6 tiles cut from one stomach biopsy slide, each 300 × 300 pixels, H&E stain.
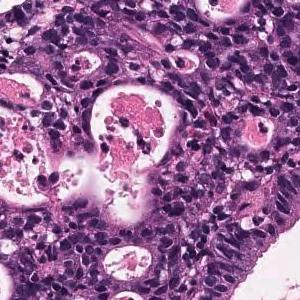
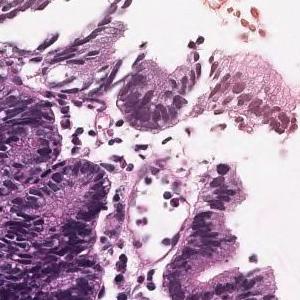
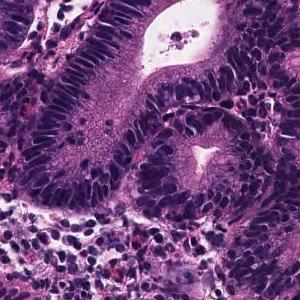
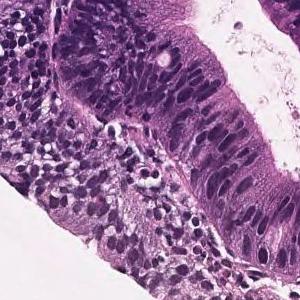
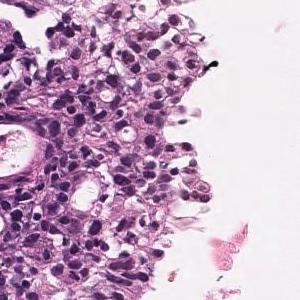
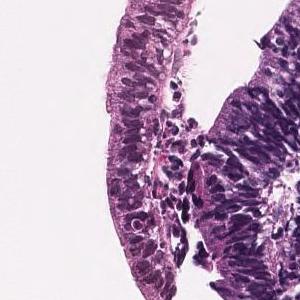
Pathology report for the biopsy slide these tiles were cut from. The report and the diagnosis describe the slide as a whole, so these tiles may not show every feature named and may include non-tumor tissue.
Atypical epithelium with swelling of the nucleus and pseudostratified shows tumor tissue that grows with irregular branching. Well differentiated tubular adenocarcinoma
